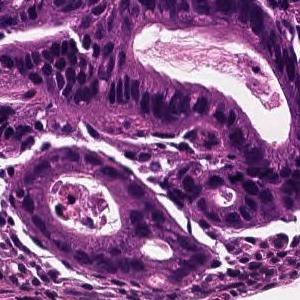
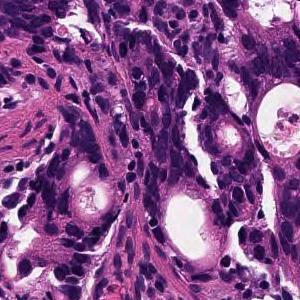
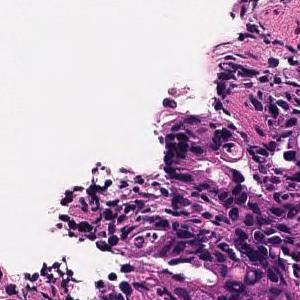
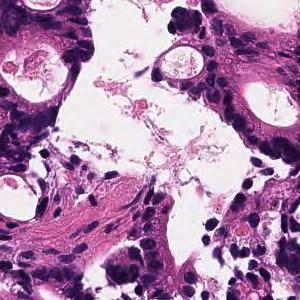
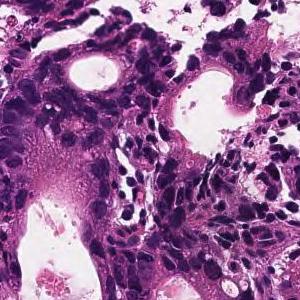
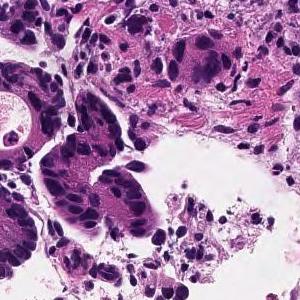
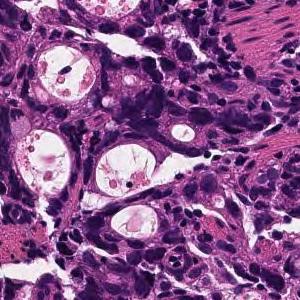
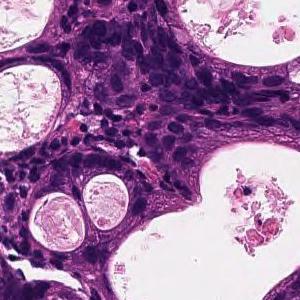
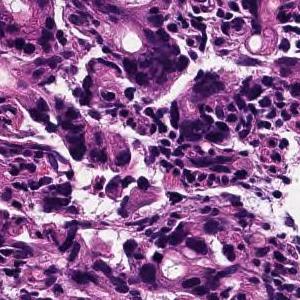
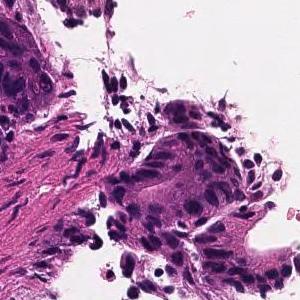
10 tiles cut from one stomach biopsy slide, 300×300 px each, hematoxylin and eosin stain, scanned at ×20.
Diagnostic report for the slide these tiles come from. What the report and the diagnosis say applies to the whole slide; these tiles may miss some of the features named and may include tissue that is not tumor.
In the superficial epithelium, tumor tissue that invades by forming medium-sized to small, irregular ducts is observed. moderately differentiated tubular adenocarcinoma.
